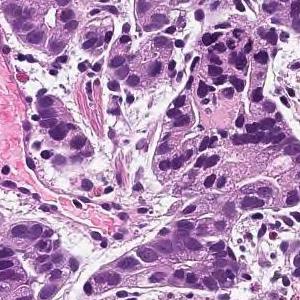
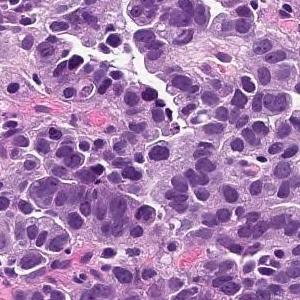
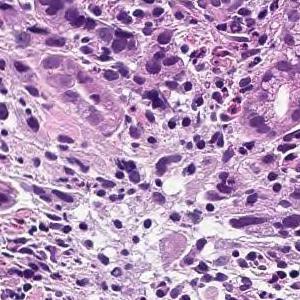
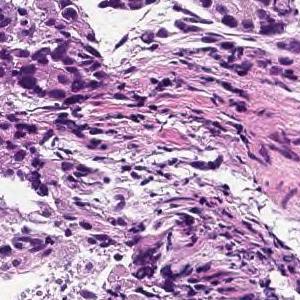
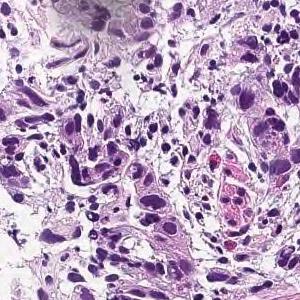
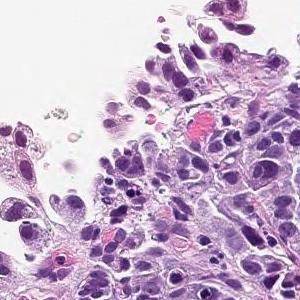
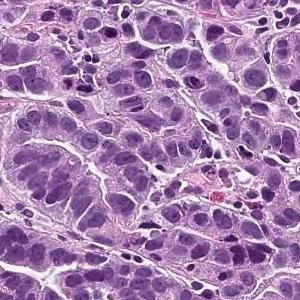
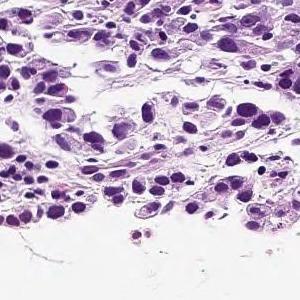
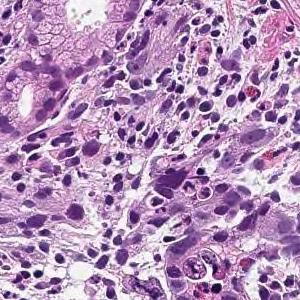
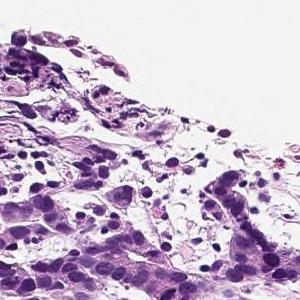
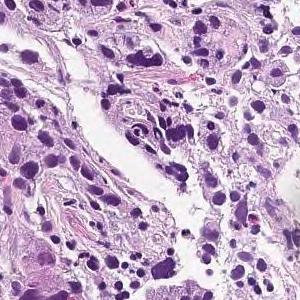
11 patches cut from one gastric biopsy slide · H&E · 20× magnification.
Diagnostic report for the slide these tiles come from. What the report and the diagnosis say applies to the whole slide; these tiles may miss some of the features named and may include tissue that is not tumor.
Tumor tissue consisting of medium-sized, cord-like or irregular glandular infiltration is observed in the superficial epithelium. Poorly differentiated adenocarcinoma, non-solid type or moderately differentiated tubular adenocarcinoma
Tumor subtype: moderately to poorly differentiated adenocarcinoma.
The term "non-solid type" comes from the Japanese Classification of Gastric Carcinoma.
